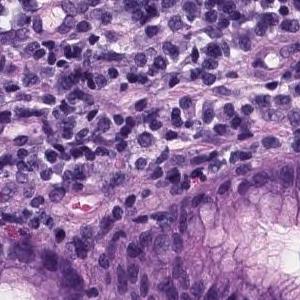
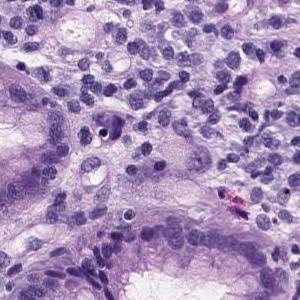
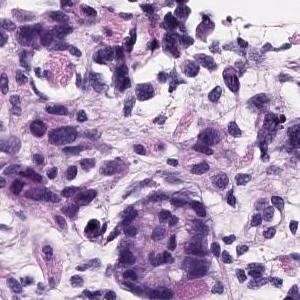
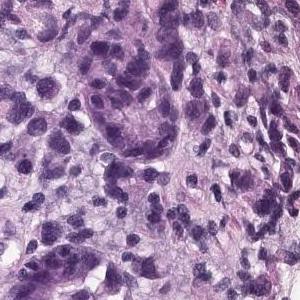
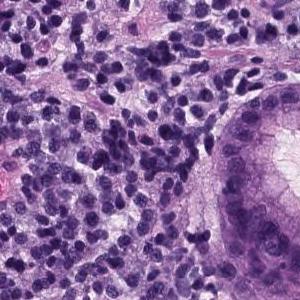
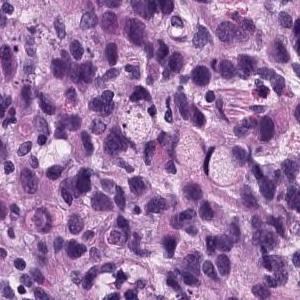
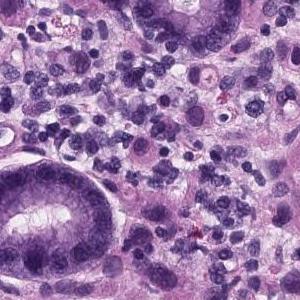
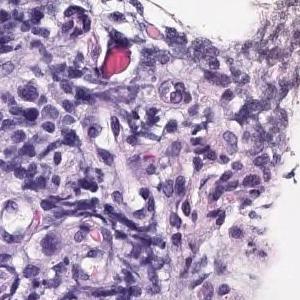
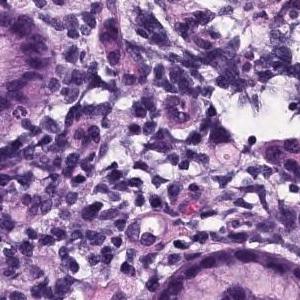
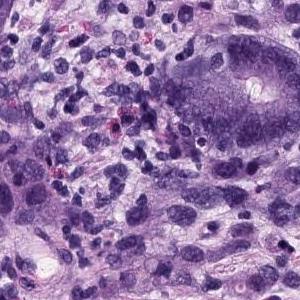
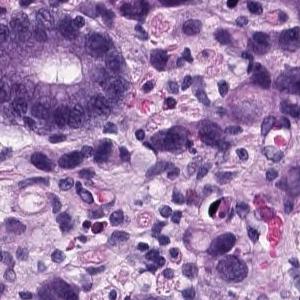
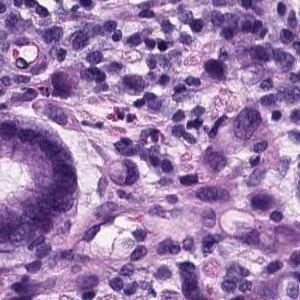
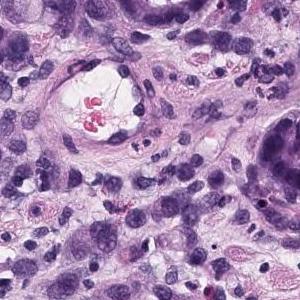
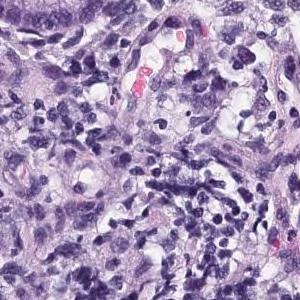
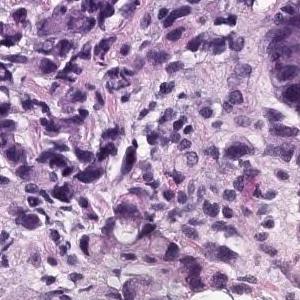
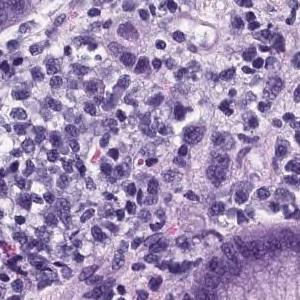
H&E stain; scanned at ×20; 16 tiles cut from one stomach biopsy slide.
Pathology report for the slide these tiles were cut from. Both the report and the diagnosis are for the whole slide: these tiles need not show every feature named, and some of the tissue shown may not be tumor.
Group 5, Adenocarcinoma. Poorly differentiated adenocarcinoma, non-solid type
The term "non-solid type" comes from the Japanese Classification of Gastric Carcinoma.
